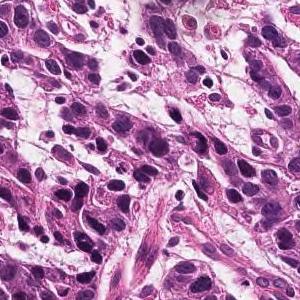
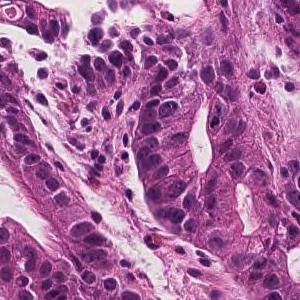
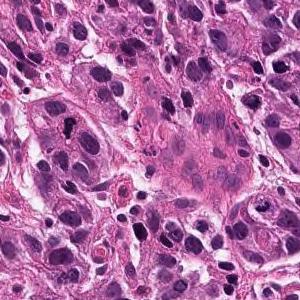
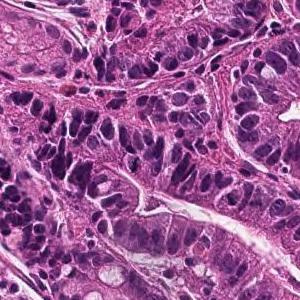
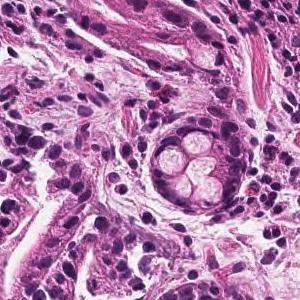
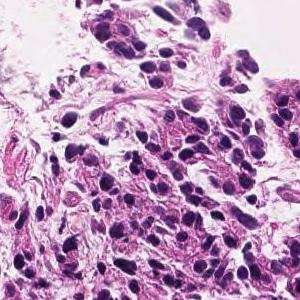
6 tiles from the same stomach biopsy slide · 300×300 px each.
The pathologist's report on the biopsy slide these tiles were taken from. The report and the diagnosis describe the slide as a whole, so these tiles may not show every feature named and may include non-tumor tissue.
Tumor tissue consisting of medium-sized, cord-like or irregular glandular infiltration is observed in the superficial epithelium. Poorly differentiated adenocarcinoma, non-solid type or moderately differentiated tubular adenocarcinoma
Histological subtype: Moderately to poorly differentiated adenocarcinoma.
"Non-solid type" is a category of the Japanese Classification of Gastric Carcinoma.
